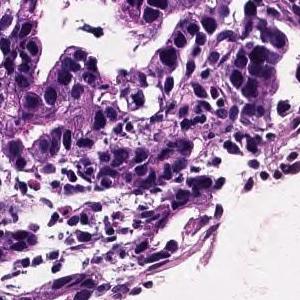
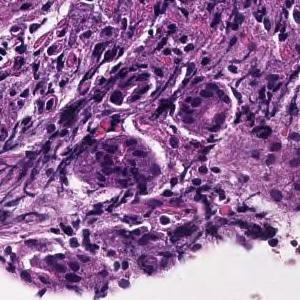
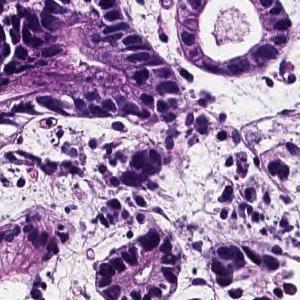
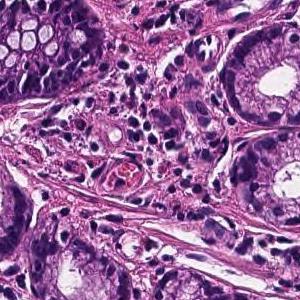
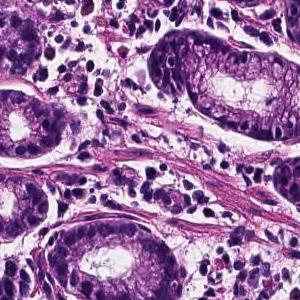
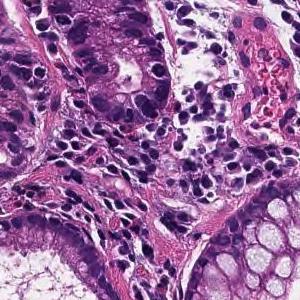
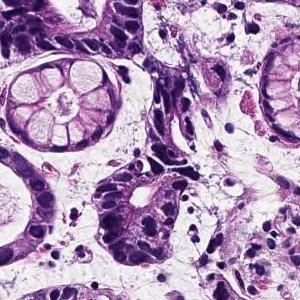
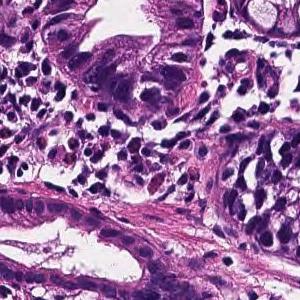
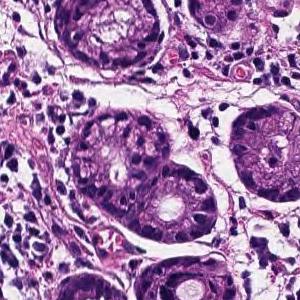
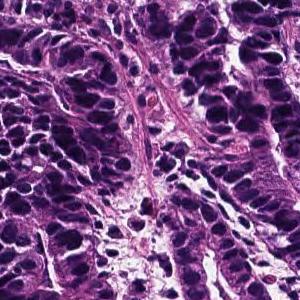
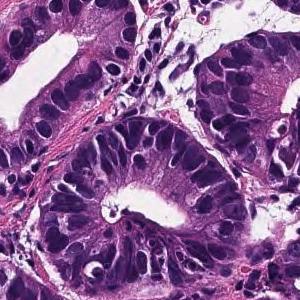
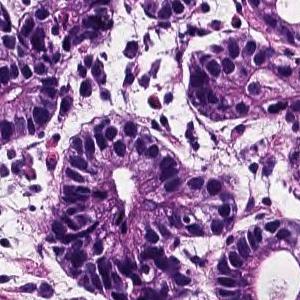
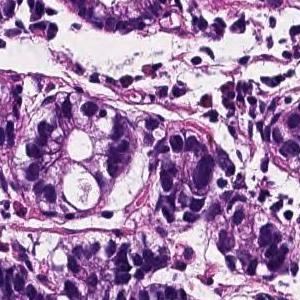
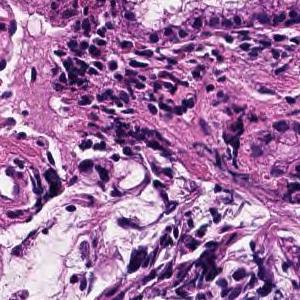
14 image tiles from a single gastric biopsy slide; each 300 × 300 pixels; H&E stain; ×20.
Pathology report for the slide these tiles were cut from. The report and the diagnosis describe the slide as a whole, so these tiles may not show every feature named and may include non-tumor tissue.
Tumor cells are large, highly columnar, large club-shaped nuclei, and are associated with chromatin aggregation. Papillary adenocarcinoma.
